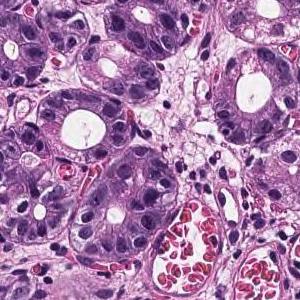
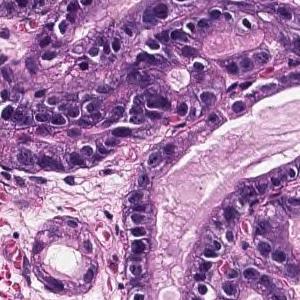
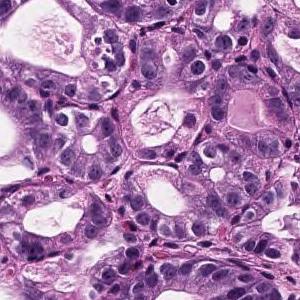
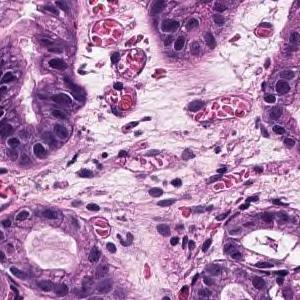
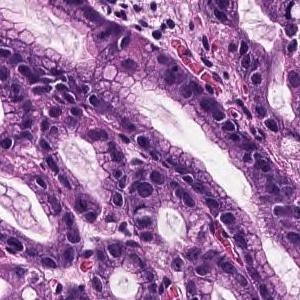
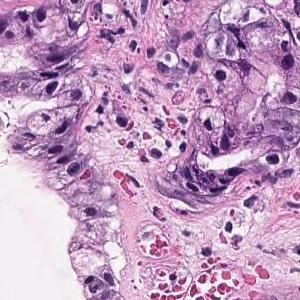
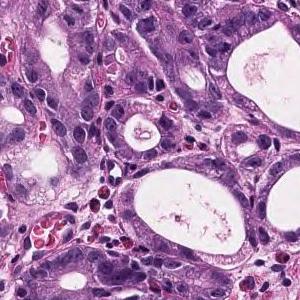
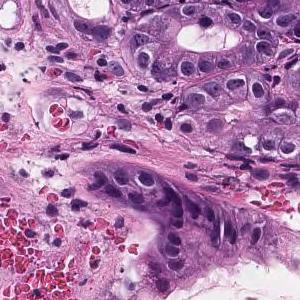
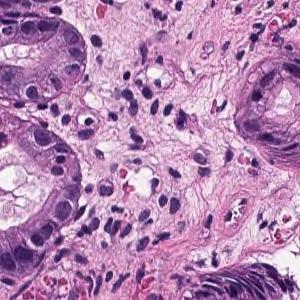
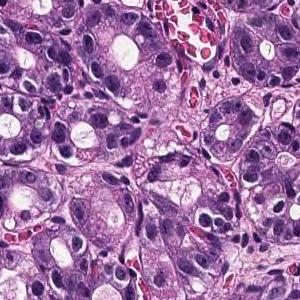
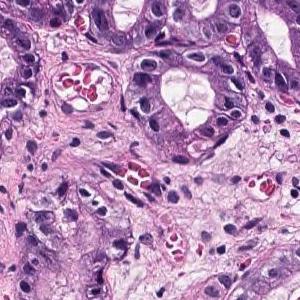
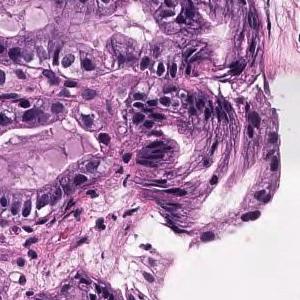
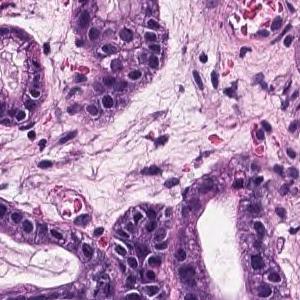
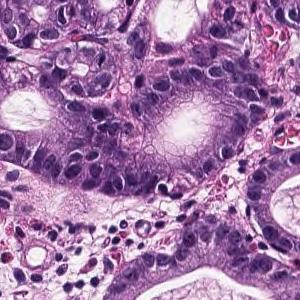
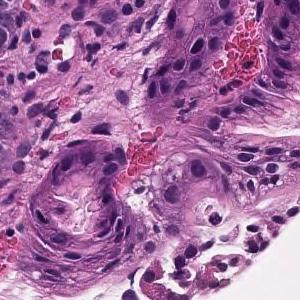
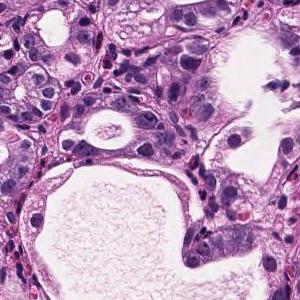
×20, H&E stain, 16 tiles from the same stomach biopsy slide.
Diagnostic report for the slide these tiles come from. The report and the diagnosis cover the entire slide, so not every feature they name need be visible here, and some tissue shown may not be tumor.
On the superficial epithelium, tumor tissue that infiltrates by forming medium-sized round or small irregular ducts is observed. Papillary adenocarcinoma
